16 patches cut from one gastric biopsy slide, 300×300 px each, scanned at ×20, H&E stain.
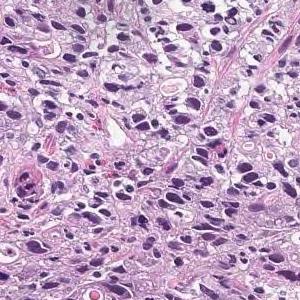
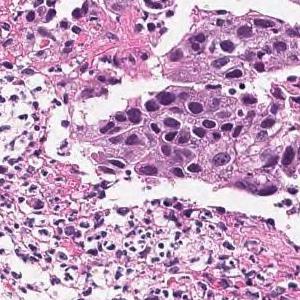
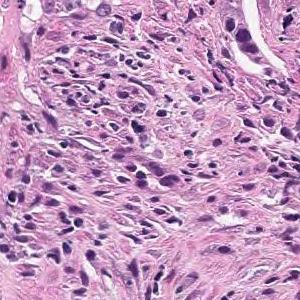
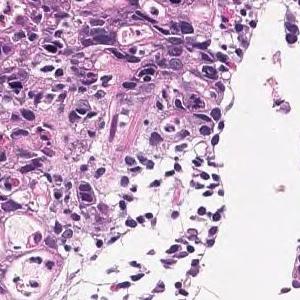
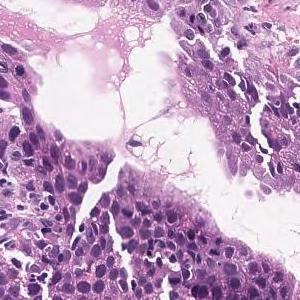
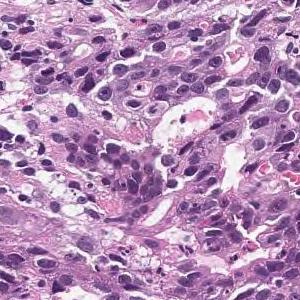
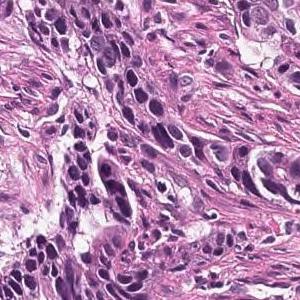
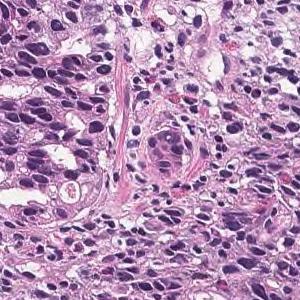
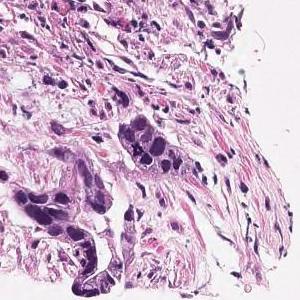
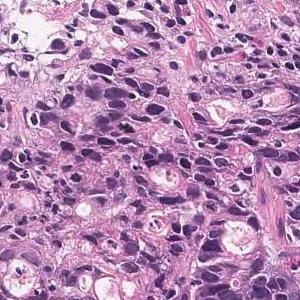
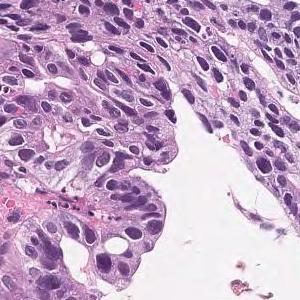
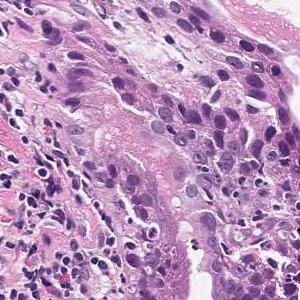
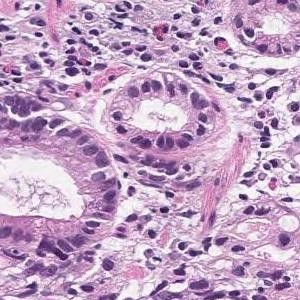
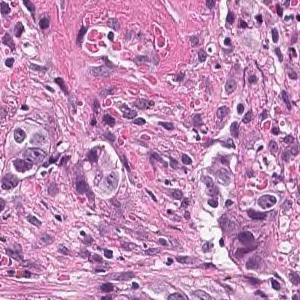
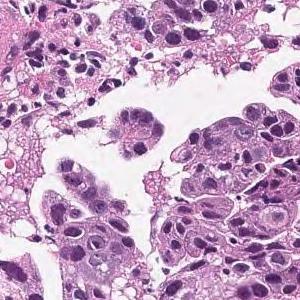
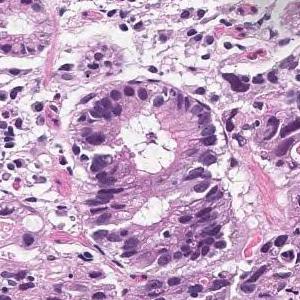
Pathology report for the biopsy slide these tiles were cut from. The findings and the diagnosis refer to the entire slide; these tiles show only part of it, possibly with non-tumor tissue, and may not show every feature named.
Tumor cells are large, highly columnar, large club-shaped nuclei, and are associated with chromatin aggregation. Papillary adenocarcinoma.
